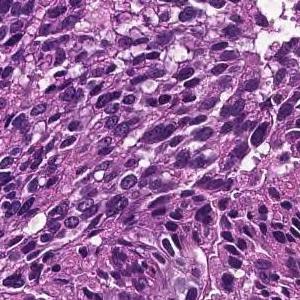
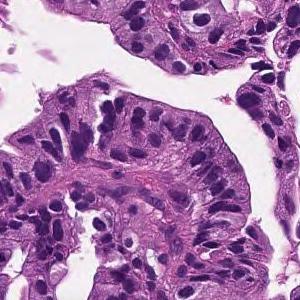
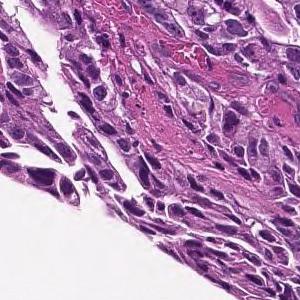
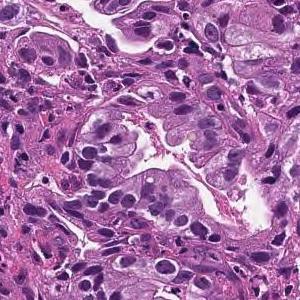
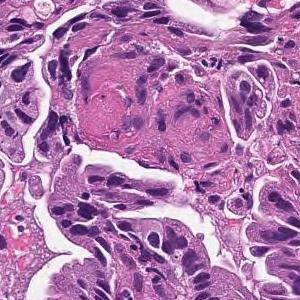
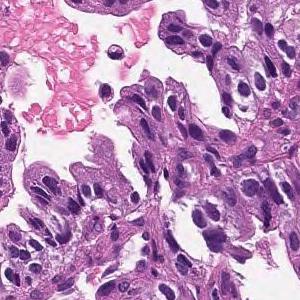
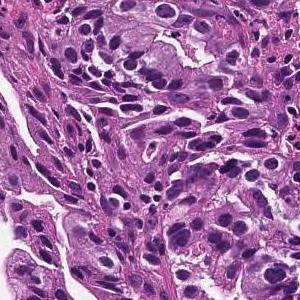
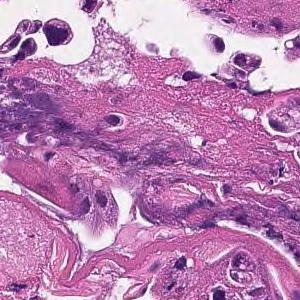
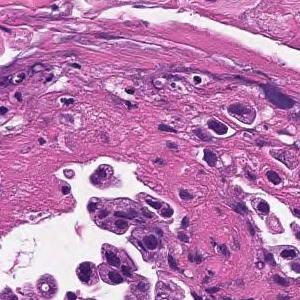
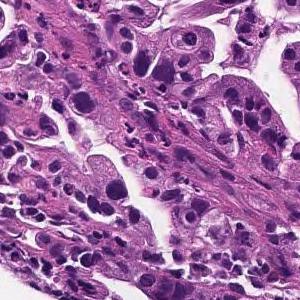
Hematoxylin and eosin stain, 10 tiles cut from one stomach biopsy slide.
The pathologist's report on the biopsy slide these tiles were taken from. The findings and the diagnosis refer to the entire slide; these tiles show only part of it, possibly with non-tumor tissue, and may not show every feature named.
Medium to small, irregular glandular ducts are formed in the superficial epithelium, and in some cases, the glandular ducts are fused to show solid alveolar lesions and infiltrating tumor tissue is observed. Moderately to poorly differentiated adenocarcinoma.
